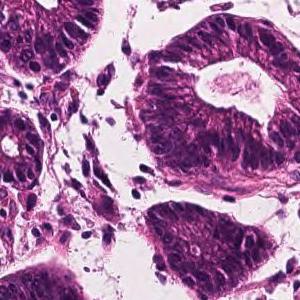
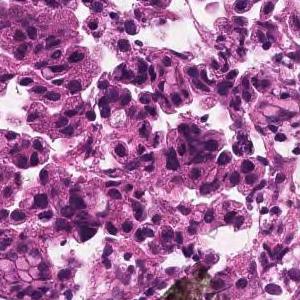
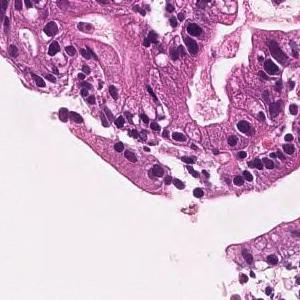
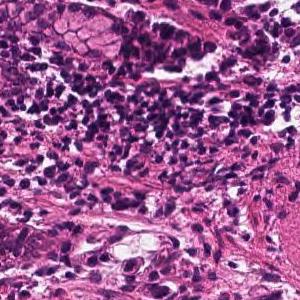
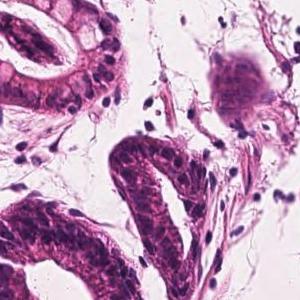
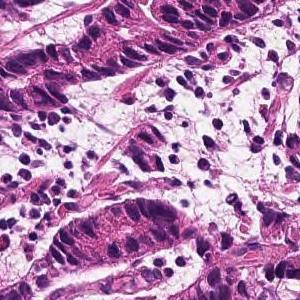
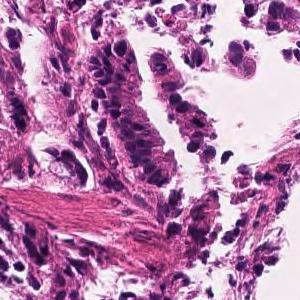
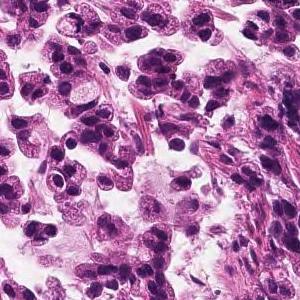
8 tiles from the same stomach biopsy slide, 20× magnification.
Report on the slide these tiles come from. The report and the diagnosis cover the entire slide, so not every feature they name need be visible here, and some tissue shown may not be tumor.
In the superficial epithelium, tumor tissue that invades by forming medium-sized to small, irregular ducts is observed. moderately differentiated tubular adenocarcinoma.
